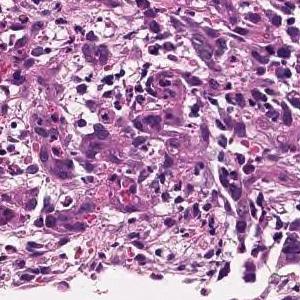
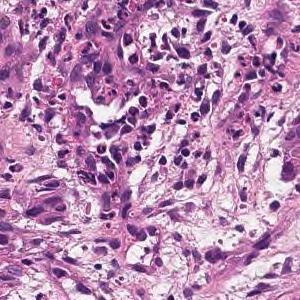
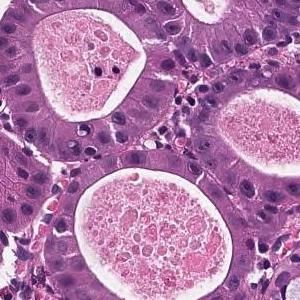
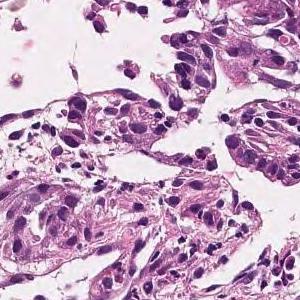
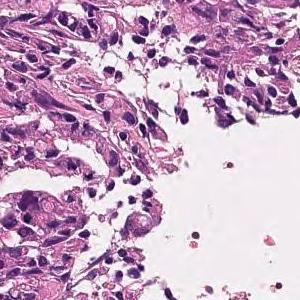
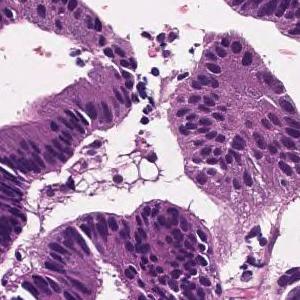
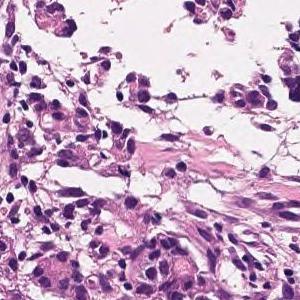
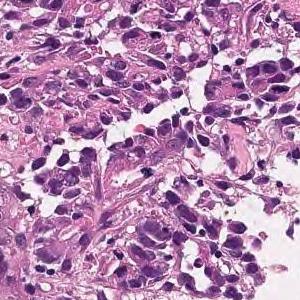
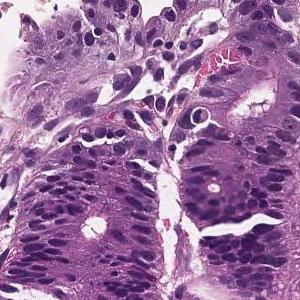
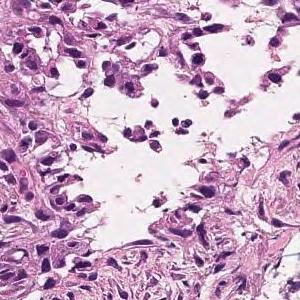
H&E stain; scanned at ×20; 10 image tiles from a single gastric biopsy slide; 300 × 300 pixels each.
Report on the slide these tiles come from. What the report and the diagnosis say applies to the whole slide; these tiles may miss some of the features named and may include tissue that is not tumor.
Tumor tissue consisting of cord-like or small, irregular glandular ducts fused and infiltrated is observed in the superficial epithelium. Poorly differentiated adenocarcinoma, non-solid type
The non-solid type named here is a Japanese Classification of Gastric Carcinoma category.
